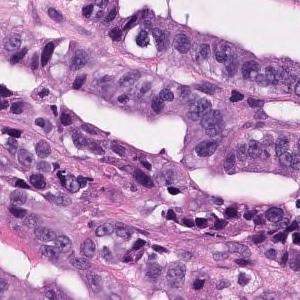
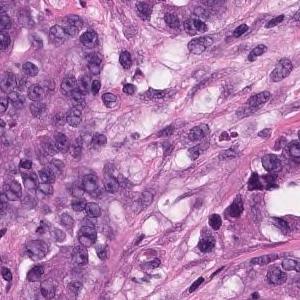
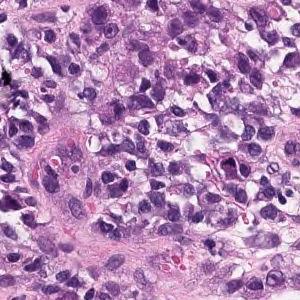
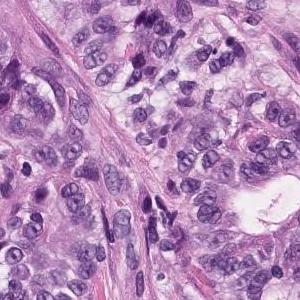
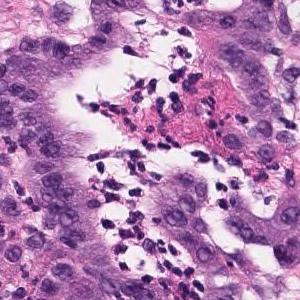
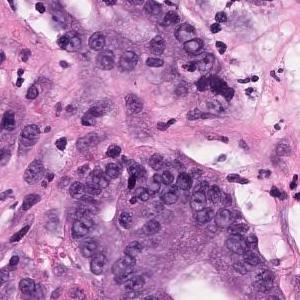
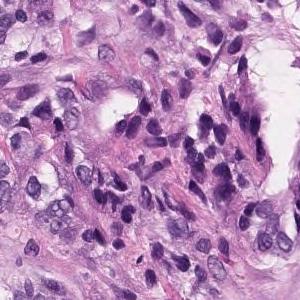
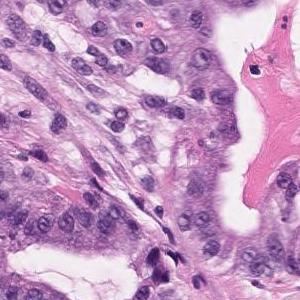
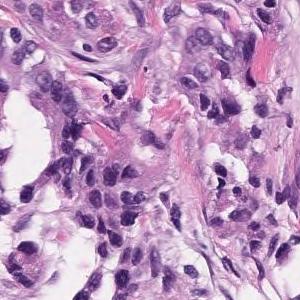
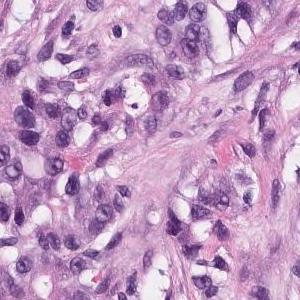
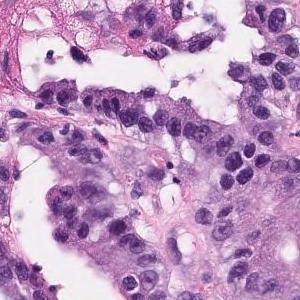
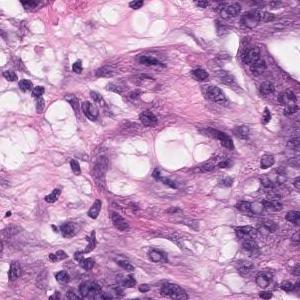
12 patches cut from one gastric biopsy slide · scanned at ×20 · hematoxylin and eosin stain.
Diagnostic report for the slide these tiles come from. The report and the diagnosis cover the entire slide, so not every feature they name need be visible here, and some tissue shown may not be tumor.
In the superficial epithelium, tumor tissue that invades by forming medium-sized to small, irregular ducts is observed. Moderately differentiated adenocarcinoma.
Subtype: Moderately differentiated tubular adenocarcinoma.
